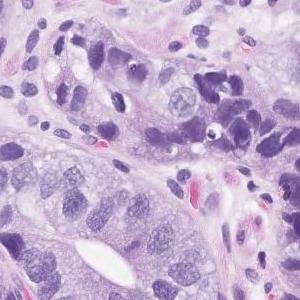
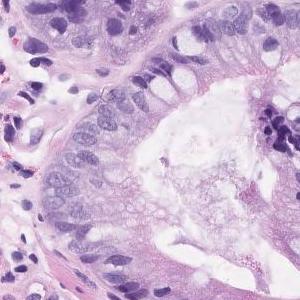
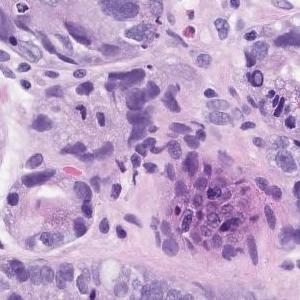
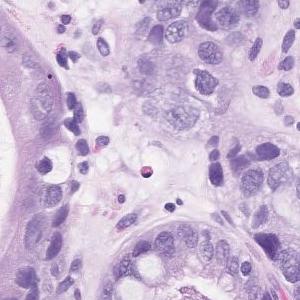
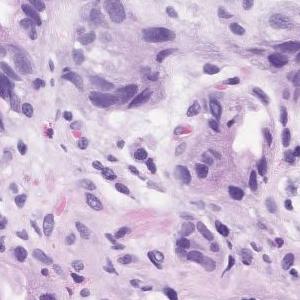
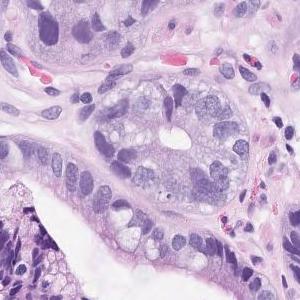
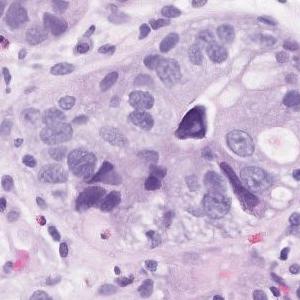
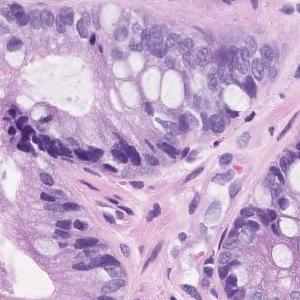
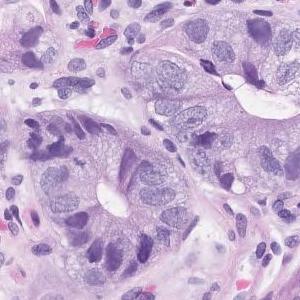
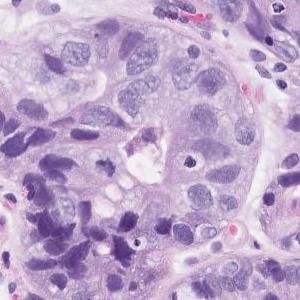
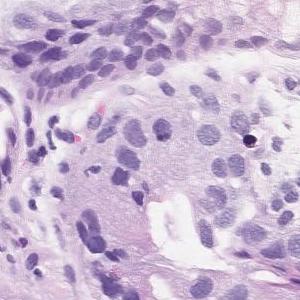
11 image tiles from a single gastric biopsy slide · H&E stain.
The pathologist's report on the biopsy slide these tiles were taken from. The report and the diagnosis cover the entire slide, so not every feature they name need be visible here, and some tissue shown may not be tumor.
Atypical l cells with atypical nuclei forming solid or diffuse vesicles or small irregular atypical ducts and growing in a complex manner. moderately differentiated tubular adenocarcinoma
